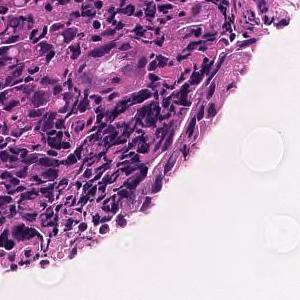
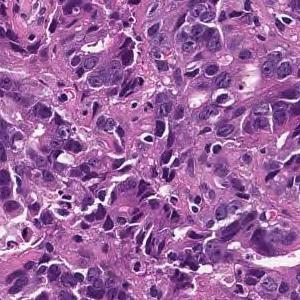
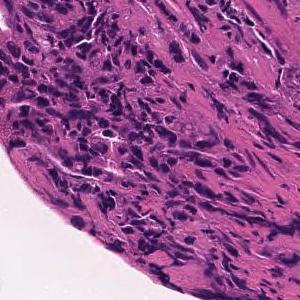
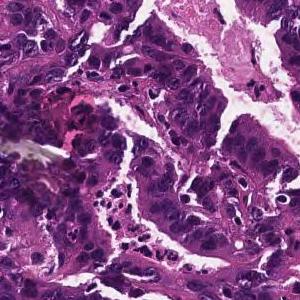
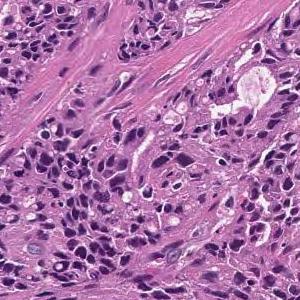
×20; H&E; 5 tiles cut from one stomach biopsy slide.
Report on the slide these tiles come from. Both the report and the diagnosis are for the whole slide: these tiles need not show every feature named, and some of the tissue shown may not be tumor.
In the superficial epithelium, tumor tissue that invades by forming medium-sized to small, irregular ducts is observed. moderately differentiated tubular adenocarcinoma.
